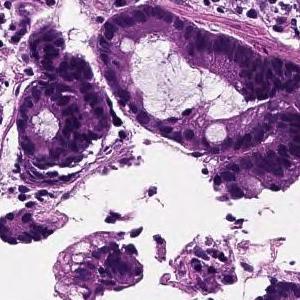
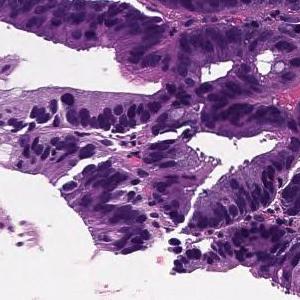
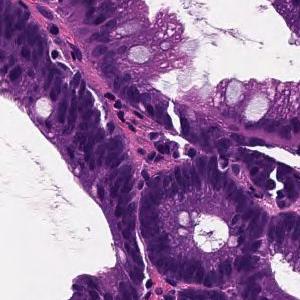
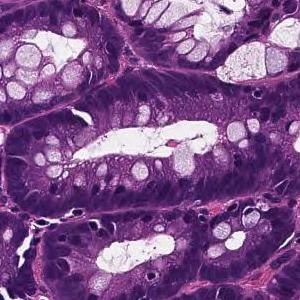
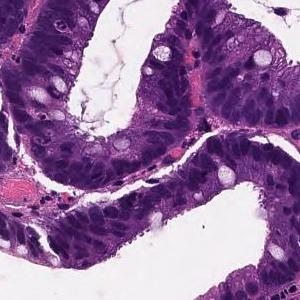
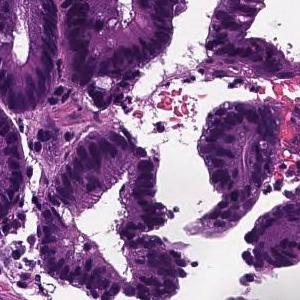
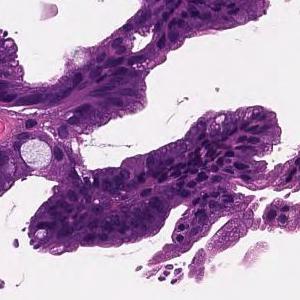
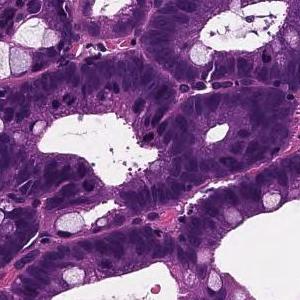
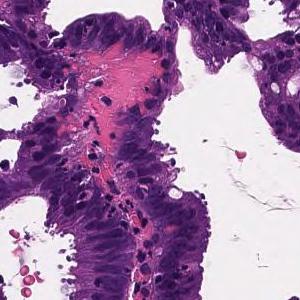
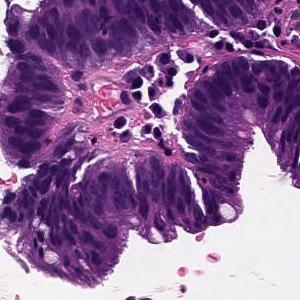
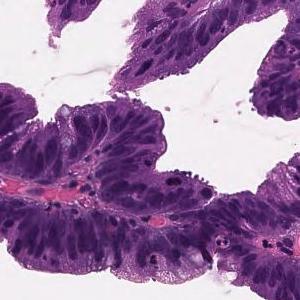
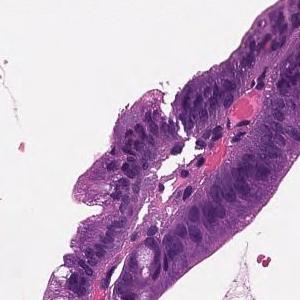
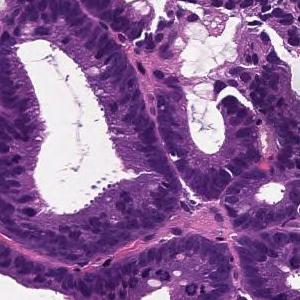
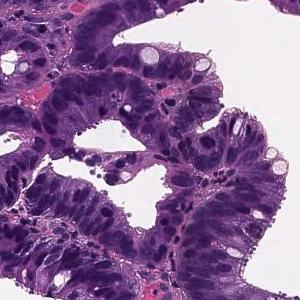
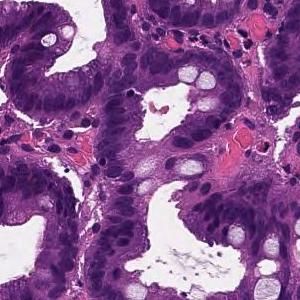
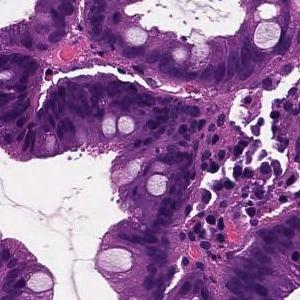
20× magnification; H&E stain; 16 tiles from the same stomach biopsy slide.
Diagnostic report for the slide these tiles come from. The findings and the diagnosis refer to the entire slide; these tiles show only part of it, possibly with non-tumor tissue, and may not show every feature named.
moderately differentiated tubular adenocarcinoma infiltrates in the submucosa massively.
Histologic type: Moderately differentiated tubular adenocarcinoma.
